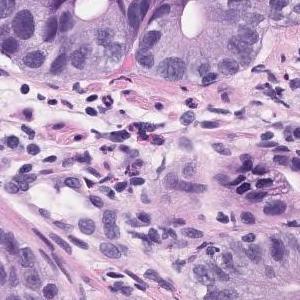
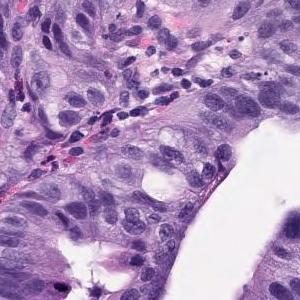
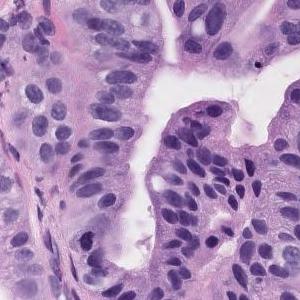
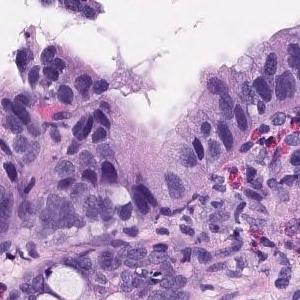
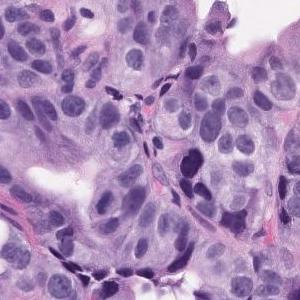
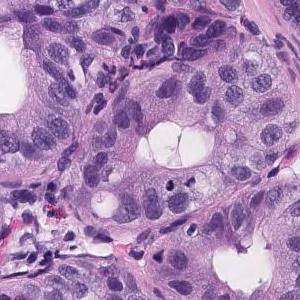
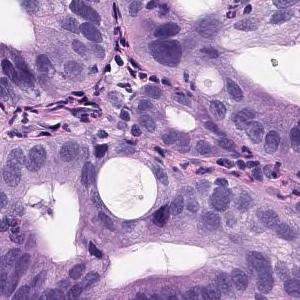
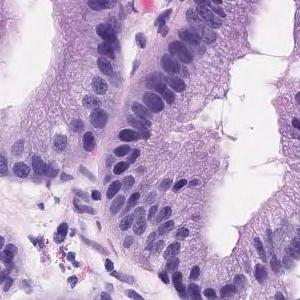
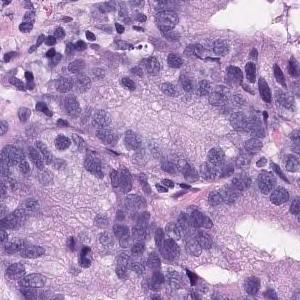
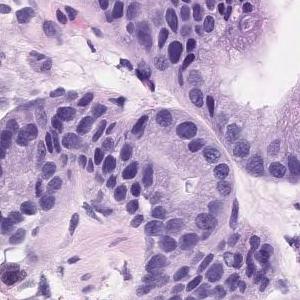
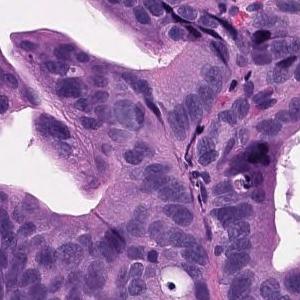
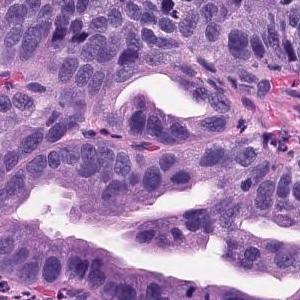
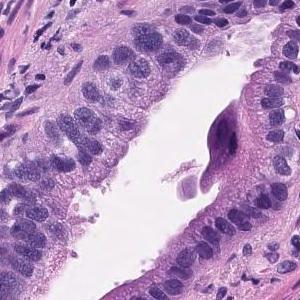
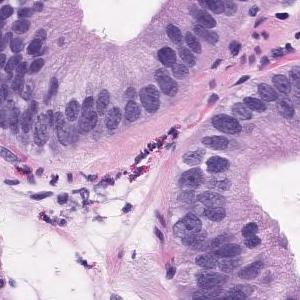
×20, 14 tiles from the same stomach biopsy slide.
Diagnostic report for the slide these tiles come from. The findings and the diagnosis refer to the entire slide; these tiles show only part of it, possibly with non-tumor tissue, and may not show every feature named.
Tumor tissue consisting of medium-sized and irregular ducts is observed infiltrating in the superficial epithelium. Tumor cells are highly columnar, with nuclei aligned basolaterally and polarized. Well differentiated tubular adenocarcinoma.
